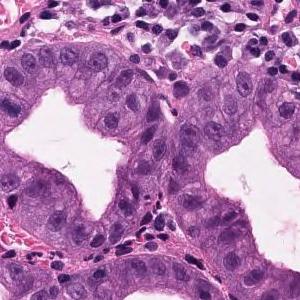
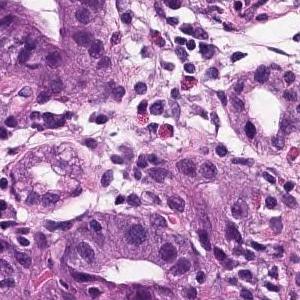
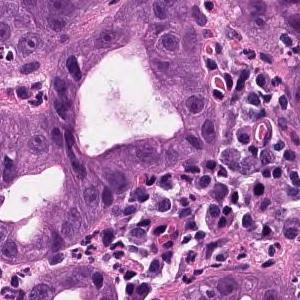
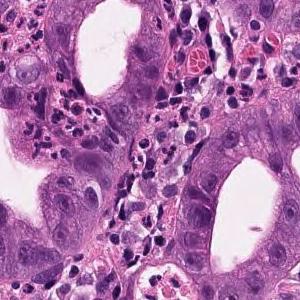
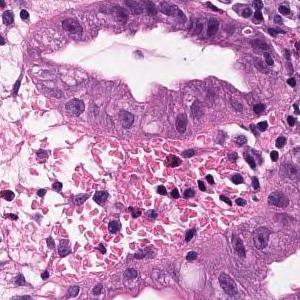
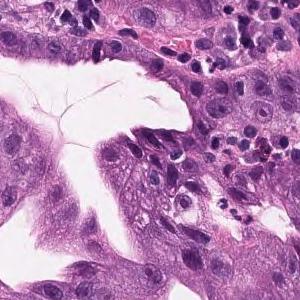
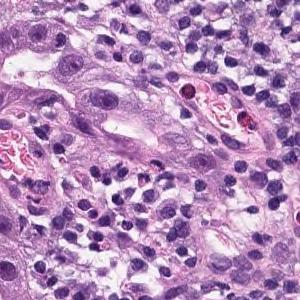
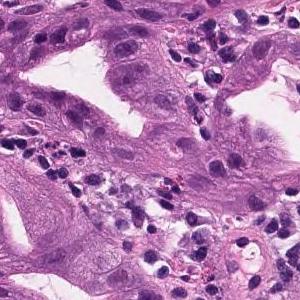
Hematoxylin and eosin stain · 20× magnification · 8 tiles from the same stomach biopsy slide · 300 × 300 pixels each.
Pathology report for the biopsy slide these tiles were cut from. What the report and the diagnosis say applies to the whole slide; these tiles may miss some of the features named and may include tissue that is not tumor.
In the superficial epithelium, tumor tissue that invades by forming medium-sized to small, irregular ducts is observed. Well to moderately differentiated adenocarcinoma (well differentiated tubular adenocarcinoma, moderately differentiated tubular adenocarcinoma).
Tumor subtype: well to moderately differentiated tubular adenocarcinoma.
